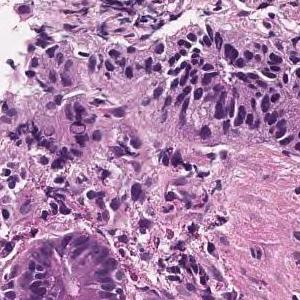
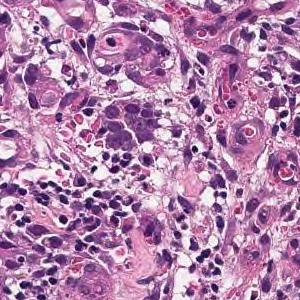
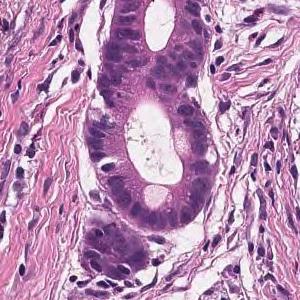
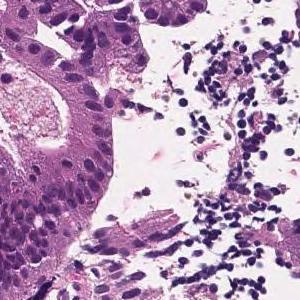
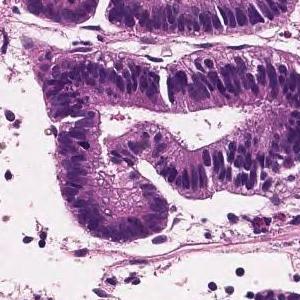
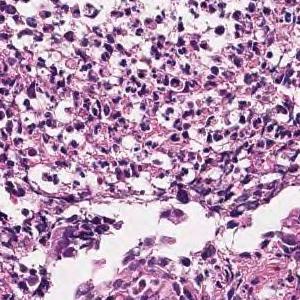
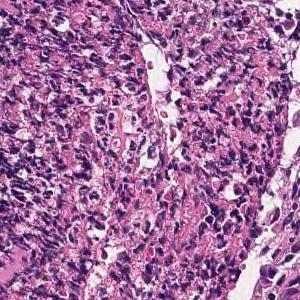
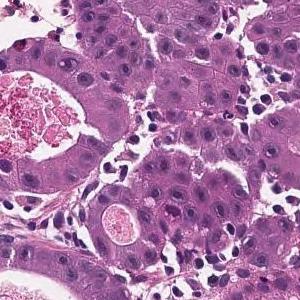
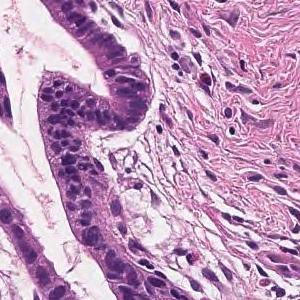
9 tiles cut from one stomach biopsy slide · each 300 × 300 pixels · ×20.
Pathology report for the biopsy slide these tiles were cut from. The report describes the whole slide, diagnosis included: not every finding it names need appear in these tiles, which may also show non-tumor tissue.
Tumor tissue consisting of cord-like or small, irregular glandular ducts fused and infiltrated is observed in the superficial epithelium. Poorly differentiated adenocarcinoma, non-solid type
The non-solid type named here is a Japanese Classification of Gastric Carcinoma category.
